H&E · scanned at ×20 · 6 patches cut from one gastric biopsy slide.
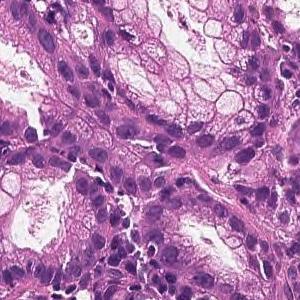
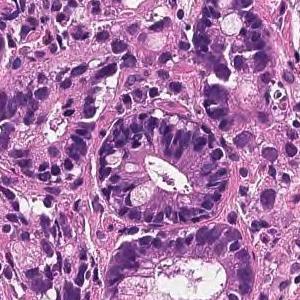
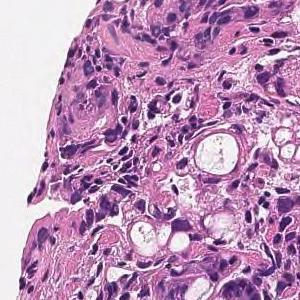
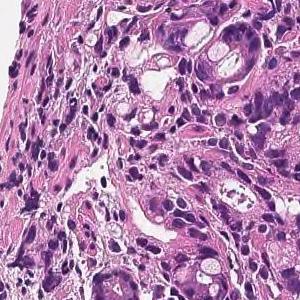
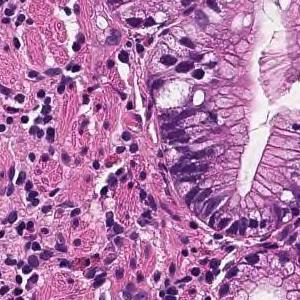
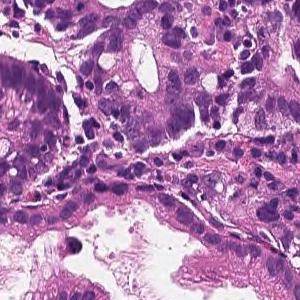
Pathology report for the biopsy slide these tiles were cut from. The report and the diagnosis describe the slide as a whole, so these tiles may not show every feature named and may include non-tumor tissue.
From the superficial epithelium to the muscularis mucosae, tumor tissue consisting of medium-sized and irregular glandular ducts infiltrating is observed. Well differentiated tubular adenocarcinoma
